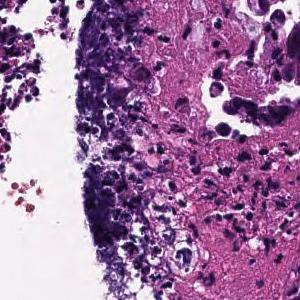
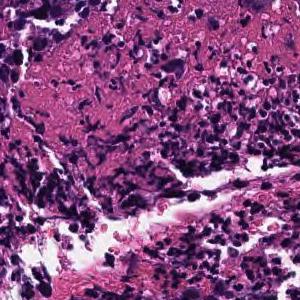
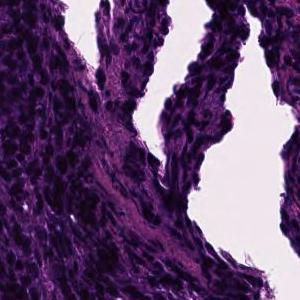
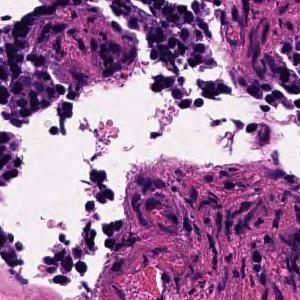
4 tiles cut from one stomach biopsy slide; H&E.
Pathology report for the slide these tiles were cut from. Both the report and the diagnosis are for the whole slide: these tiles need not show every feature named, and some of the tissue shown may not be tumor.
In the superficial epithelium, tumor tissue that invades by forming medium-sized to small, irregular ducts is observed. moderately differentiated tubular adenocarcinoma.
